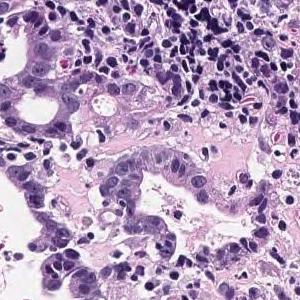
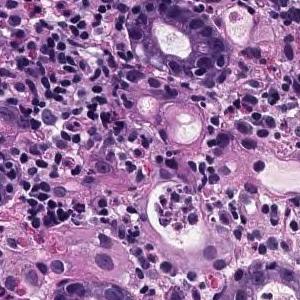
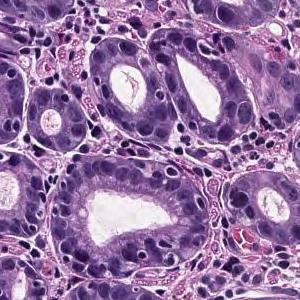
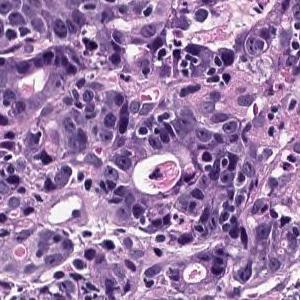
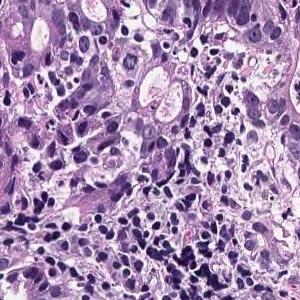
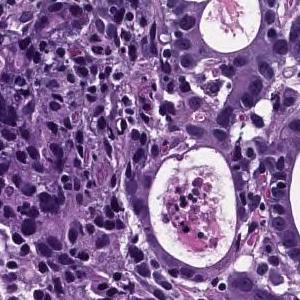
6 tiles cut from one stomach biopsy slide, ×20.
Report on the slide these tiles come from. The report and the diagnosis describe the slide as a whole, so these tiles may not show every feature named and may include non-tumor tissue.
In the superficial epithelium, tumor tissue that invades by forming medium-sized to small, irregular ducts is observed. moderately differentiated tubular adenocarcinoma.
